H&E stain, scanned at ×20, 4 tiles from the same stomach biopsy slide.
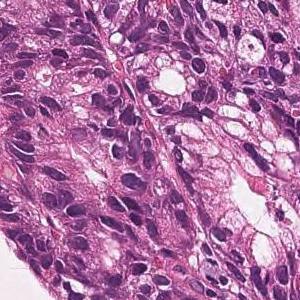
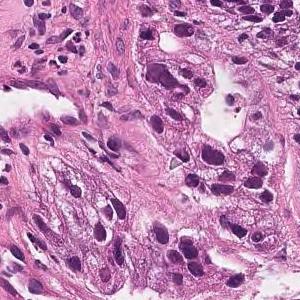
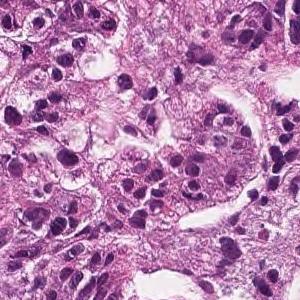
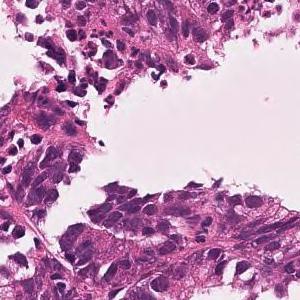
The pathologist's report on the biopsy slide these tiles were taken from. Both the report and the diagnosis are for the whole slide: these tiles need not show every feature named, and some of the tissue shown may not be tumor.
On the superficial epithelium, tumor tissue consisting of large, irregular glandular ducts partially fused and infiltrated is observed. Well to moderately differentiated tubular adenocarcinoma (well differentiated tubular adenocarcinoma, moderately differentiated tubular adenocarcinoma)
Histologic type: Well to moderately differentiated tubular adenocarcinoma.
